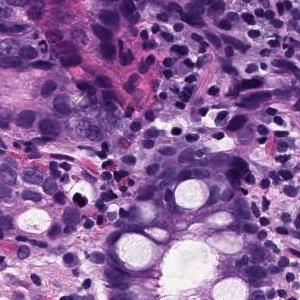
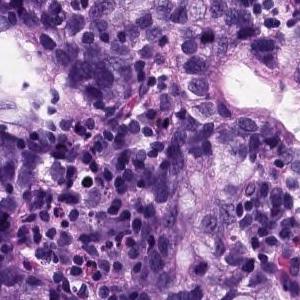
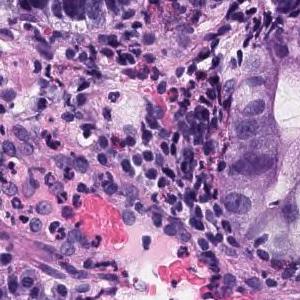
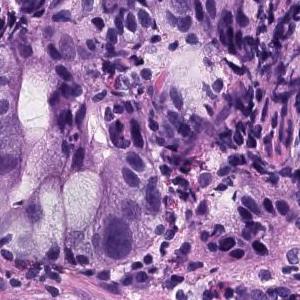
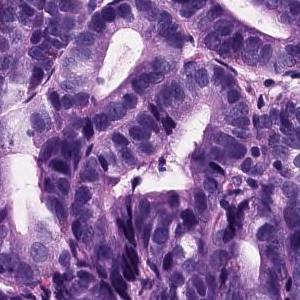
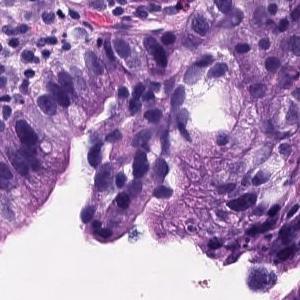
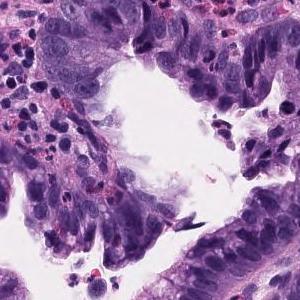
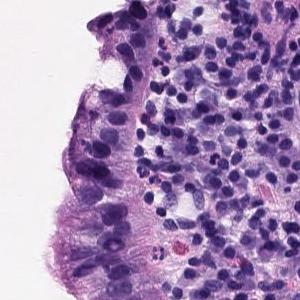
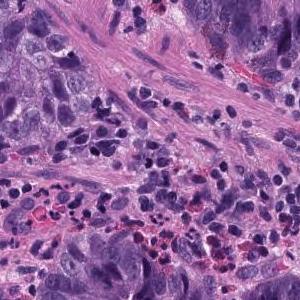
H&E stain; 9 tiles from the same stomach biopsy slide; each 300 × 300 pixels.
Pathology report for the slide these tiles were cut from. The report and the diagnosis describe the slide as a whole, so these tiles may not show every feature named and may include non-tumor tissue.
Tumor cells with strong nuclear atypia proliferate invasively, forming small to medium-sized irregular shaped ducts. moderately differentiated tubular adenocarcinoma
